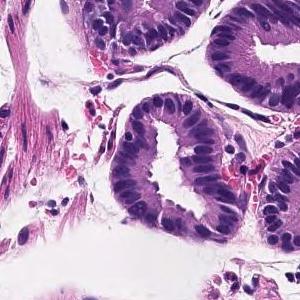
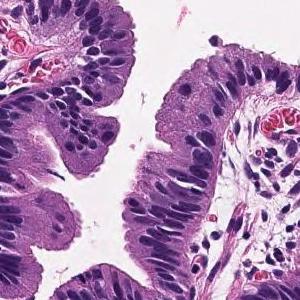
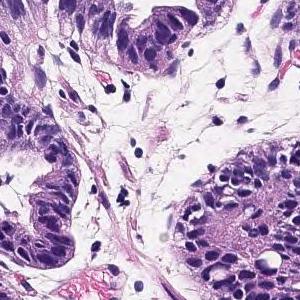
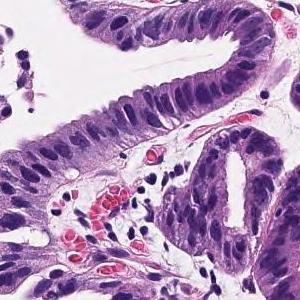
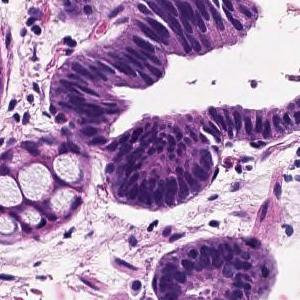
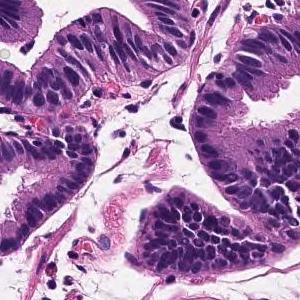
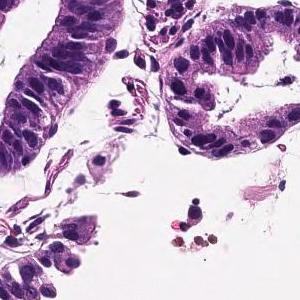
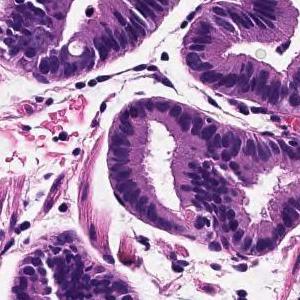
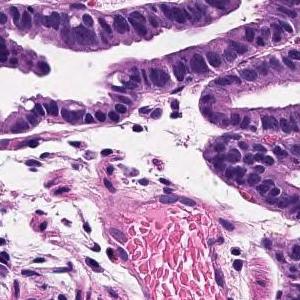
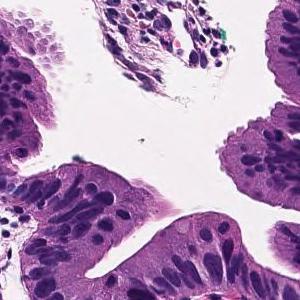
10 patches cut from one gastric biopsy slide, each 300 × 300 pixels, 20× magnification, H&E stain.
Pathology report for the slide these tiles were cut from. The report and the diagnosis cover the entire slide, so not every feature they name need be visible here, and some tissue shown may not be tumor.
Tumor cells are large, highly columnar, large club-shaped nuclei, and are associated with chromatin aggregation. Papillary adenocarcinoma.
